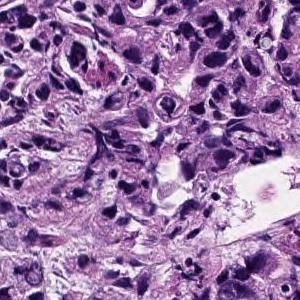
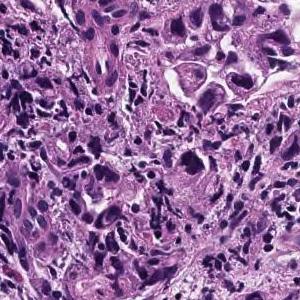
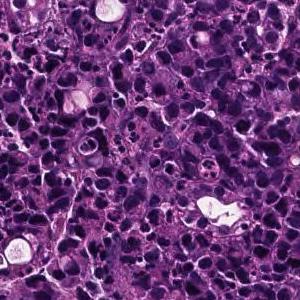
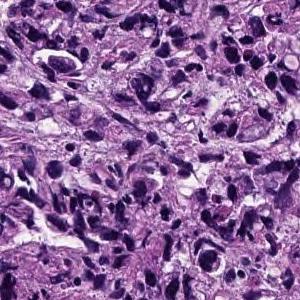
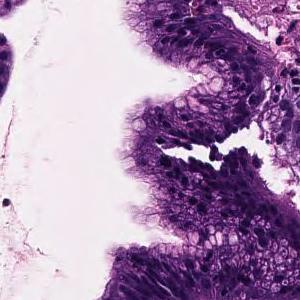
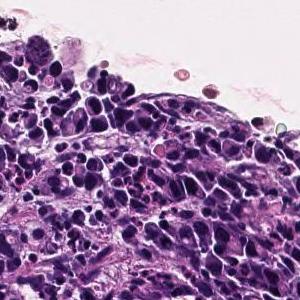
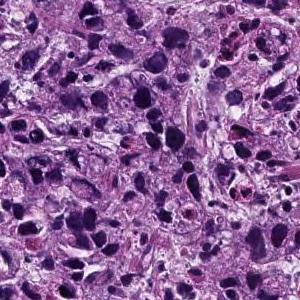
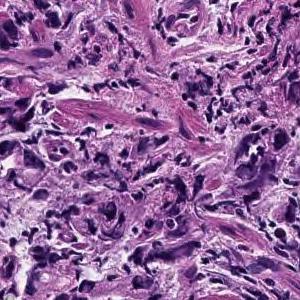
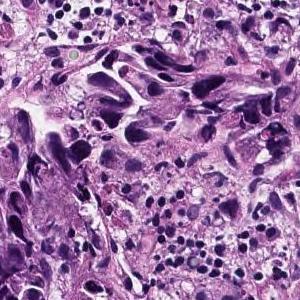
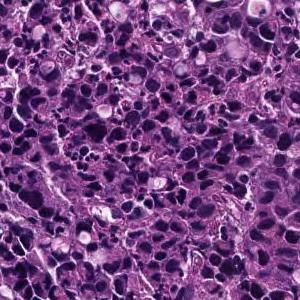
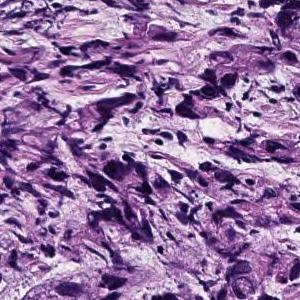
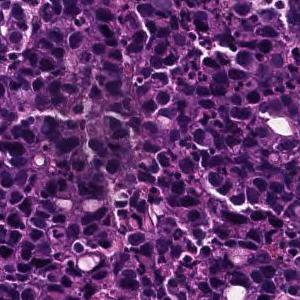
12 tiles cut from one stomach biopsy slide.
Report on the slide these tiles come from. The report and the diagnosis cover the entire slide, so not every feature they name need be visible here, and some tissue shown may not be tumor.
The superficial epithelium shows a large sheet-like shape, and some tumor tissue infiltrates with small irregular ducts. Poorly differentiated adenocarcinoma, solid-type
Tumor subtype: poorly differentiated adenocarcinoma, solid type (Japanese Classification of Gastric Carcinoma). The WHO 2019 equivalent is tubular adenocarcinoma, poorly differentiated.
